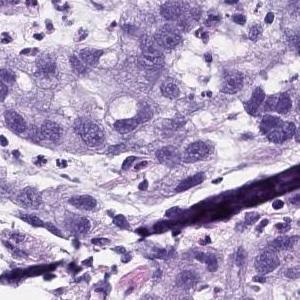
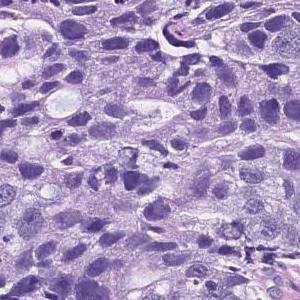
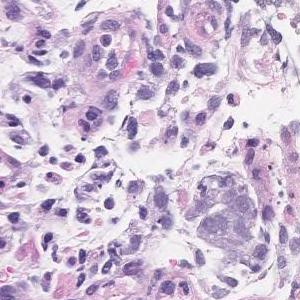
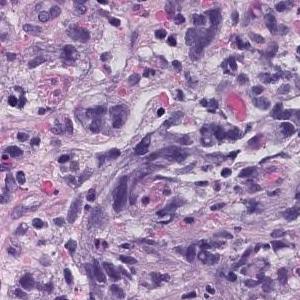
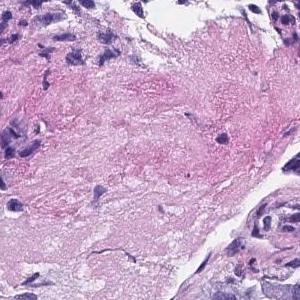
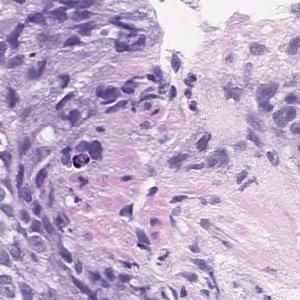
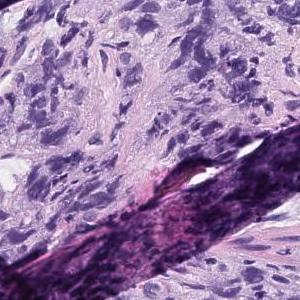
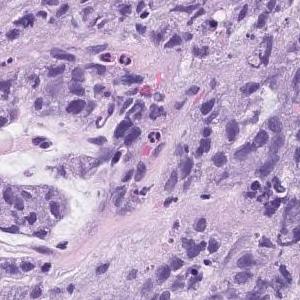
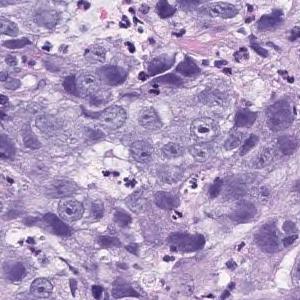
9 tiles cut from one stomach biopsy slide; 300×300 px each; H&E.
Pathology report for the biopsy slide these tiles were cut from. Both the report and the diagnosis are for the whole slide: these tiles need not show every feature named, and some of the tissue shown may not be tumor.
Atypical l cells with atypical nuclei forming solid vesicles or small irregular atypical ducts that proliferate in a complex manner. poorly differentiated adenocarcinoma, solid type, moderately differentiated tubular adenocarcinoma
The solid type named here is a Japanese Classification of Gastric Carcinoma category; WHO 2019 calls it tubular adenocarcinoma, poorly differentiated.
